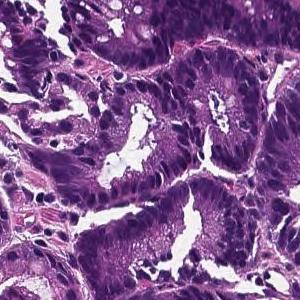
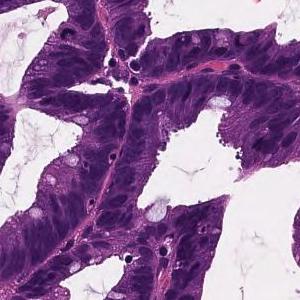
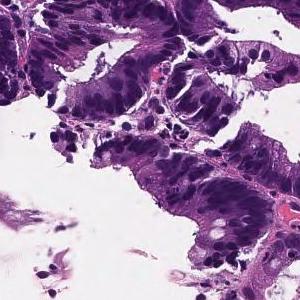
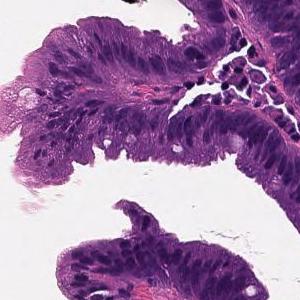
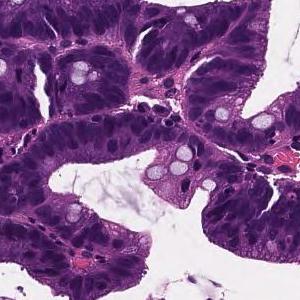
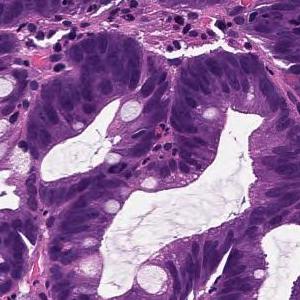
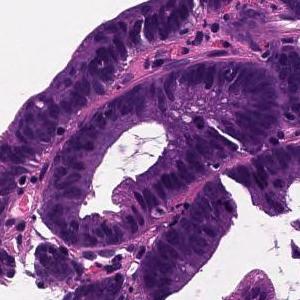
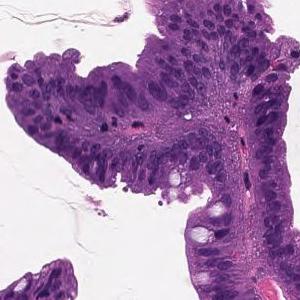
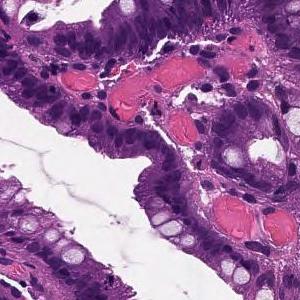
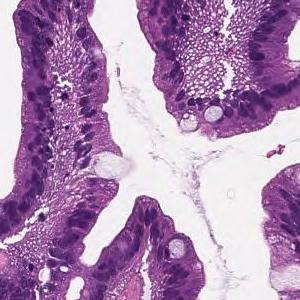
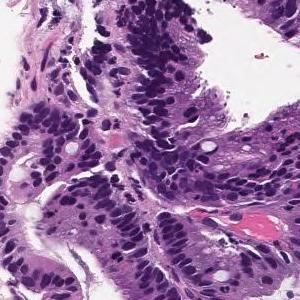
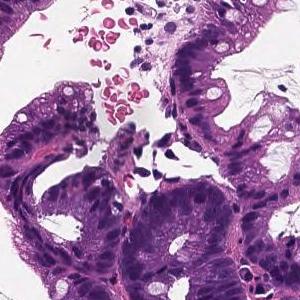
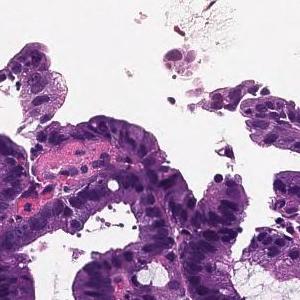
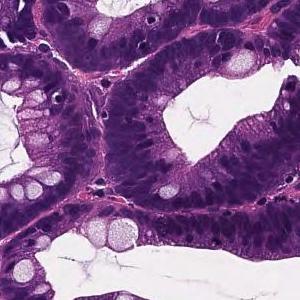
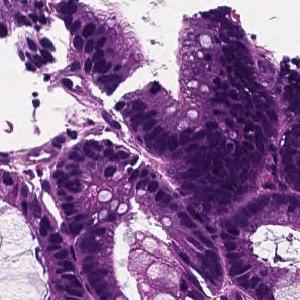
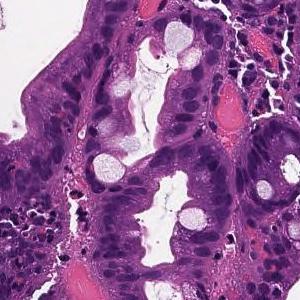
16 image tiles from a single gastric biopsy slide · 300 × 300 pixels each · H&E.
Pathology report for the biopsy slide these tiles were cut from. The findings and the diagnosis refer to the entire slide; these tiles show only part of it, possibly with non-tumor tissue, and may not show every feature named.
moderately differentiated tubular adenocarcinoma infiltrates in the submucosa massively.
Subtype: Moderately differentiated tubular adenocarcinoma.
